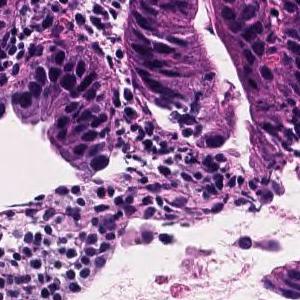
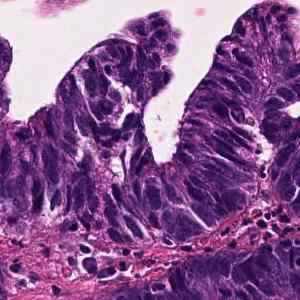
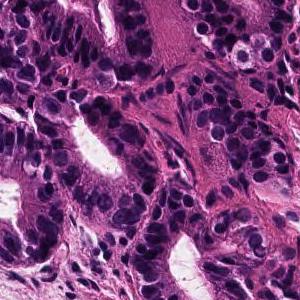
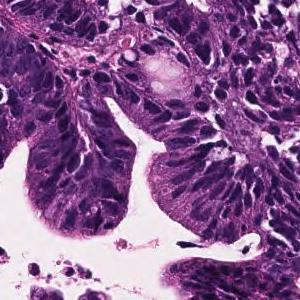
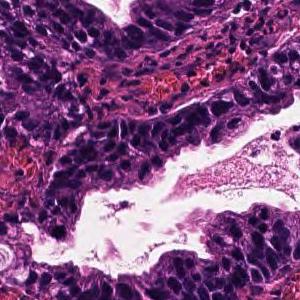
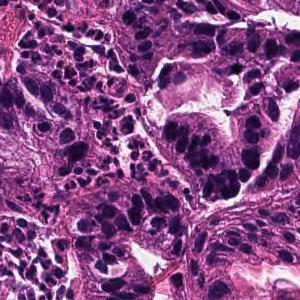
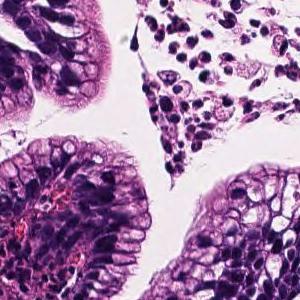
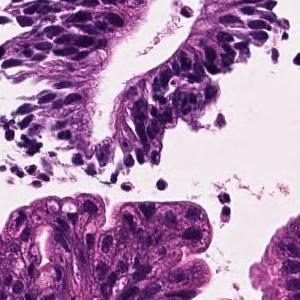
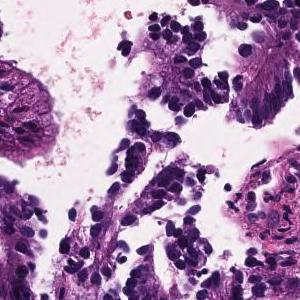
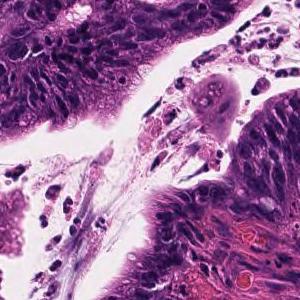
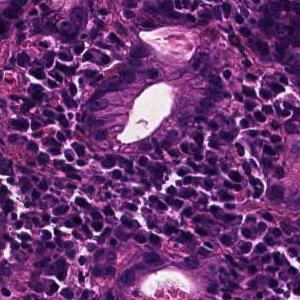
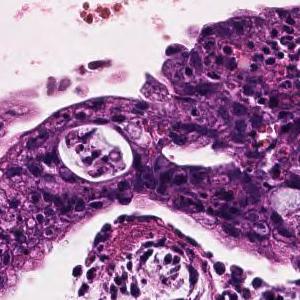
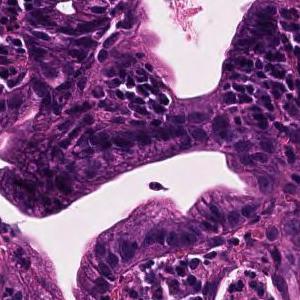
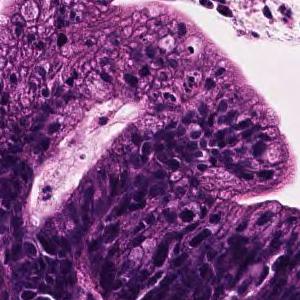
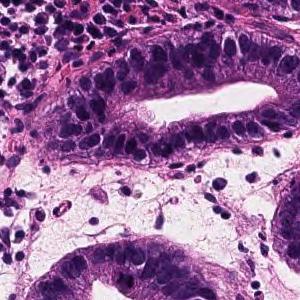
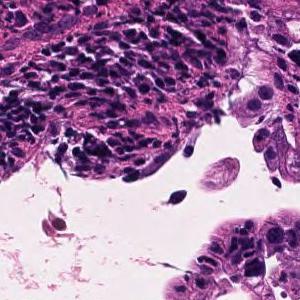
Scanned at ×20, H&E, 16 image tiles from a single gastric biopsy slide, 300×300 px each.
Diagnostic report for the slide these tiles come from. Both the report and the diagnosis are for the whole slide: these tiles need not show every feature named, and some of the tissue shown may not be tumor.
Tumor cells are large, highly columnar, large club-shaped nuclei, and are associated with chromatin aggregation. Papillary adenocarcinoma.
